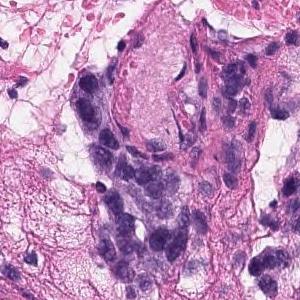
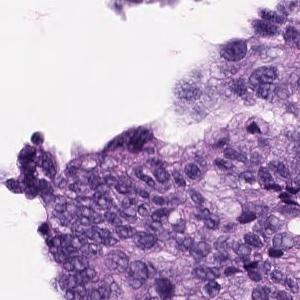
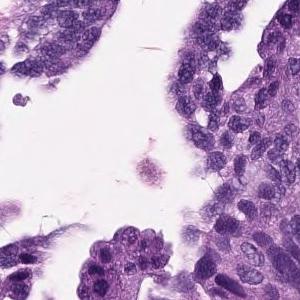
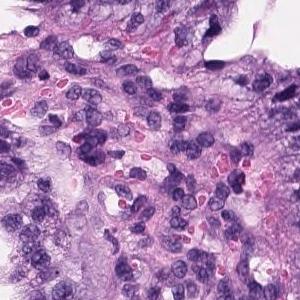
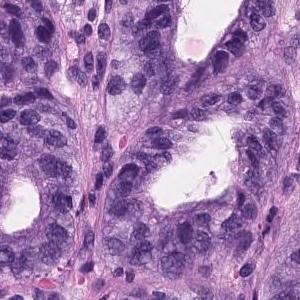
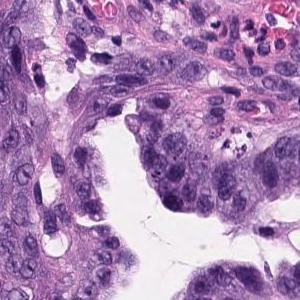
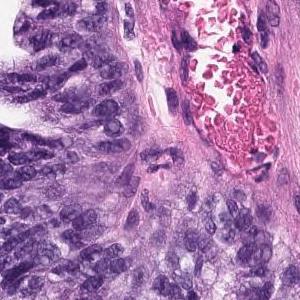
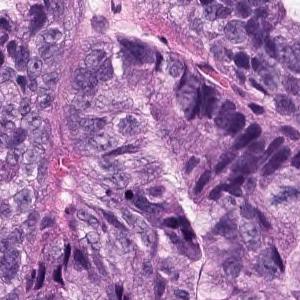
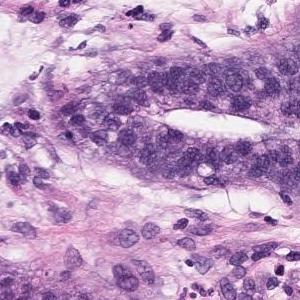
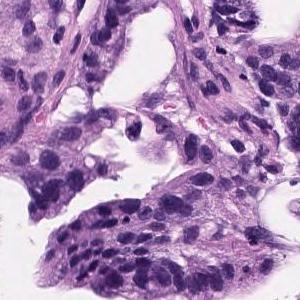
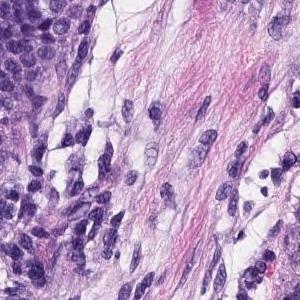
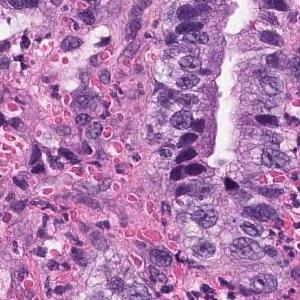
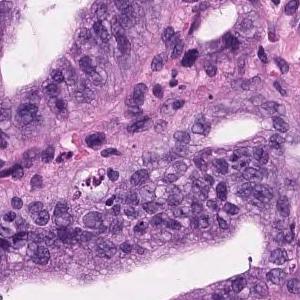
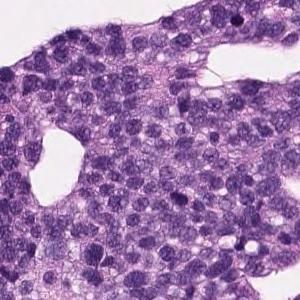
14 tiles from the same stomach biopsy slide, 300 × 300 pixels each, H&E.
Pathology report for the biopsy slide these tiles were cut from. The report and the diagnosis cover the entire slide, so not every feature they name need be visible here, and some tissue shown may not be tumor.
Tumor cells are large, highly columnar, large club-shaped nuclei, and are associated with chromatin aggregation. Papillary adenocarcinoma.
